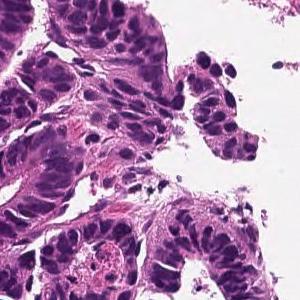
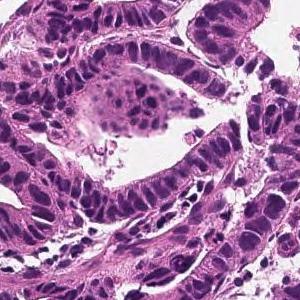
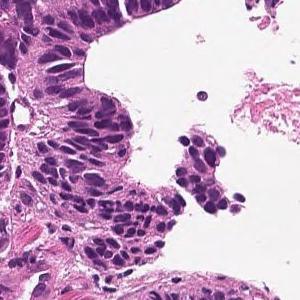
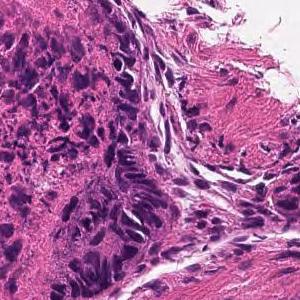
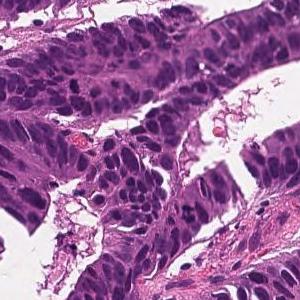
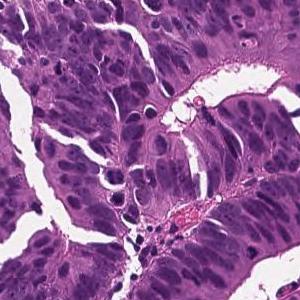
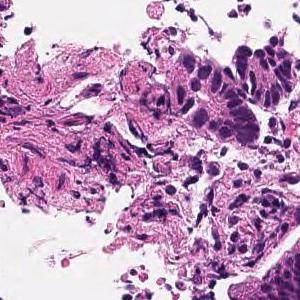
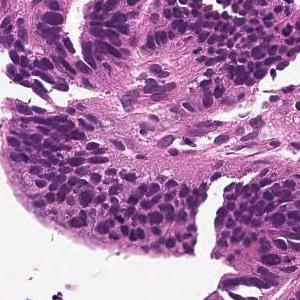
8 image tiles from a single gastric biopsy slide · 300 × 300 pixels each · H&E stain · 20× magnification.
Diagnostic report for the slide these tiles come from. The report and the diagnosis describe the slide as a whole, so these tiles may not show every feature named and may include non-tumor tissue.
From the superficial epithelium to the muscularis mucosae, tumor tissue consisting of medium-sized and irregular glandular ducts infiltrating is observed. Well differentiated tubular adenocarcinoma
